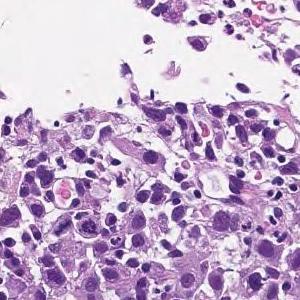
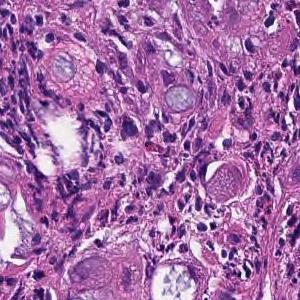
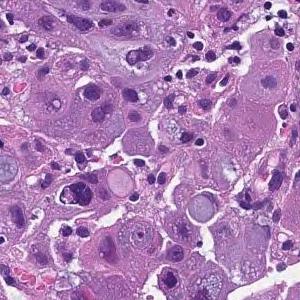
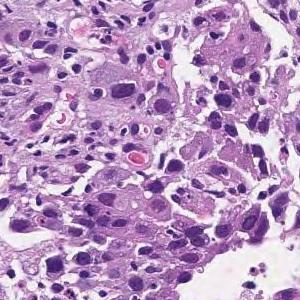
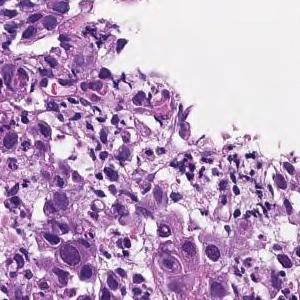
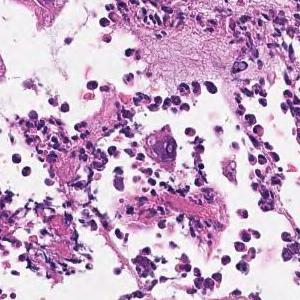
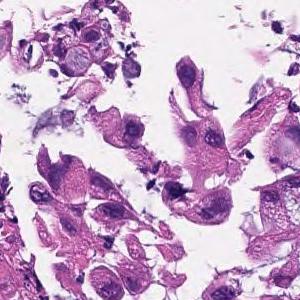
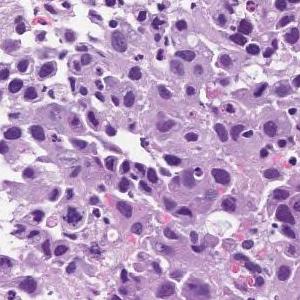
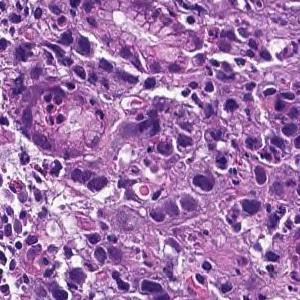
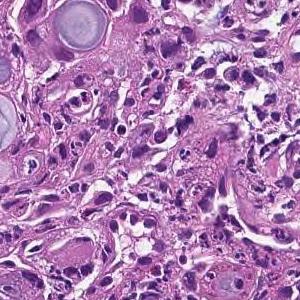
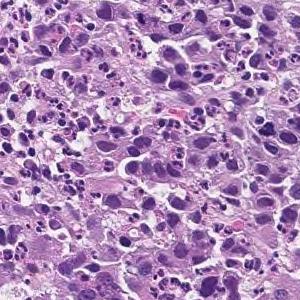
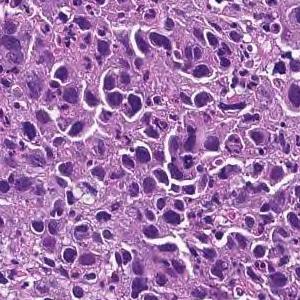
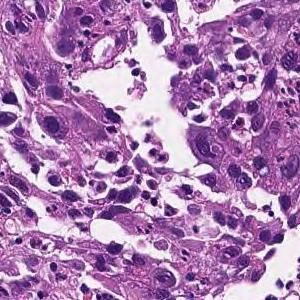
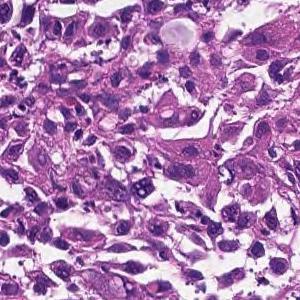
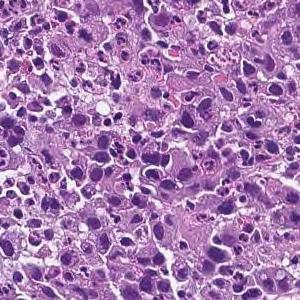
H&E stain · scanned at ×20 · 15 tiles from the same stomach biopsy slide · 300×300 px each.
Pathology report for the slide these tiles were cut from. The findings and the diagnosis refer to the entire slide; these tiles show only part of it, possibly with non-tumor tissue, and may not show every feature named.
The superficial epithelium shows a large sheet-like shape, and some tumor tissue infiltrates with small irregular ducts. Poorly differentiated adenocarcinoma, solid-type
Subtype: Poorly differentiated adenocarcinoma, solid type (Japanese Classification of Gastric Carcinoma). The WHO 2019 equivalent is tubular adenocarcinoma, poorly differentiated.
